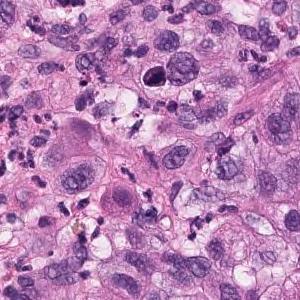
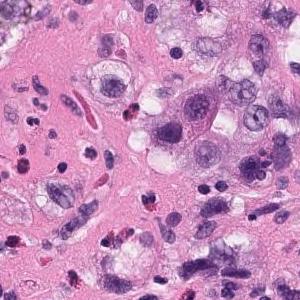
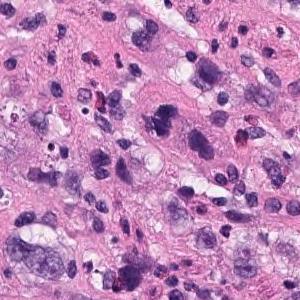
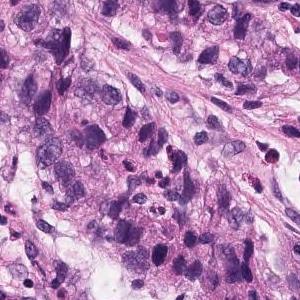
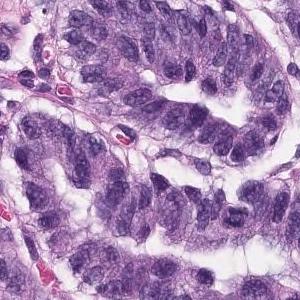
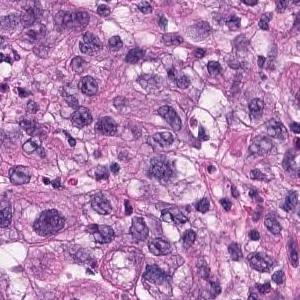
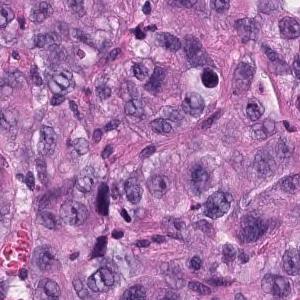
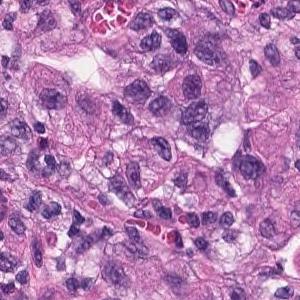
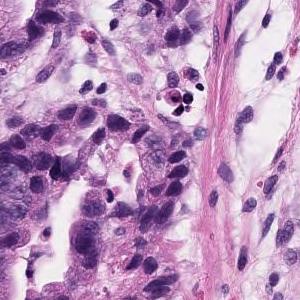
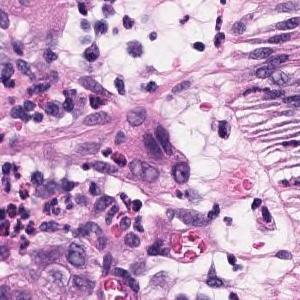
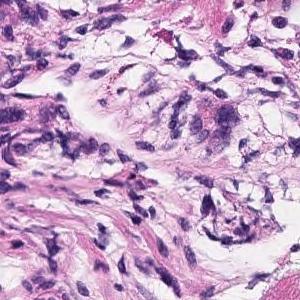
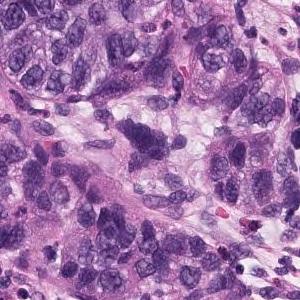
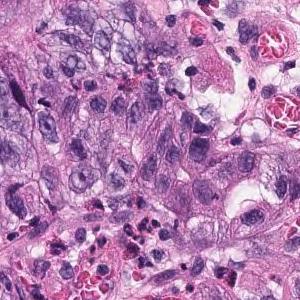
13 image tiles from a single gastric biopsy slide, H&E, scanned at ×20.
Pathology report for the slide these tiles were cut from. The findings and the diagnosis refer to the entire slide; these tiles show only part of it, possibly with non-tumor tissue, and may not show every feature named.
Atypical l cells with atypical nuclei forming diffuse or small irregular atypical ducts and growing. Moderately to poorly differentiated adenocarcinoma (poorly differentiated adenocarcinoma, solid type, moderately differentiated tubular adenocarcinoma)
Subtype: Moderately to poorly differentiated adenocarcinoma.
The solid type named here is a Japanese Classification of Gastric Carcinoma category; WHO 2019 calls it tubular adenocarcinoma, poorly differentiated.
